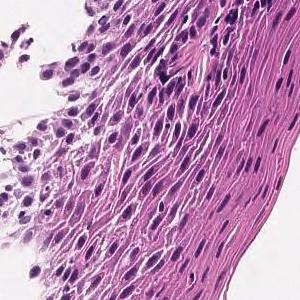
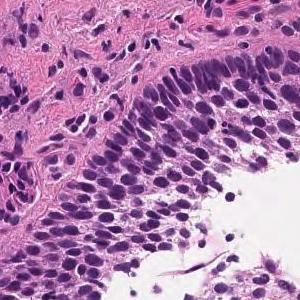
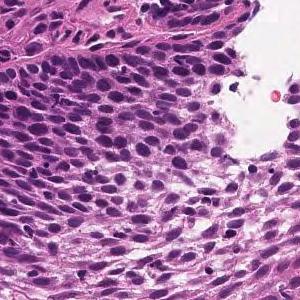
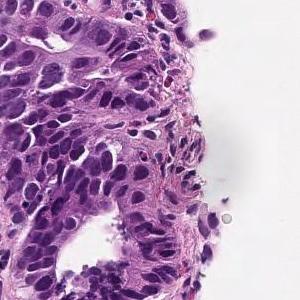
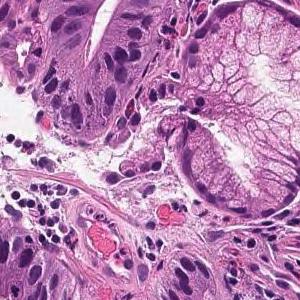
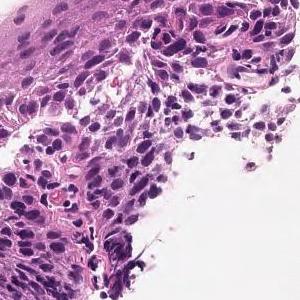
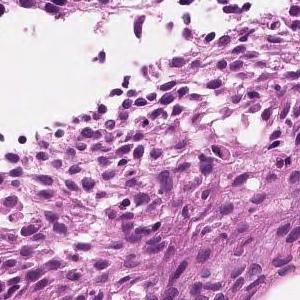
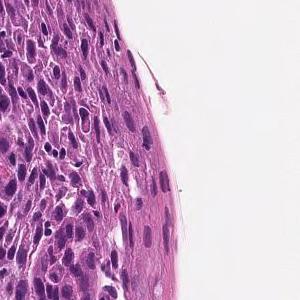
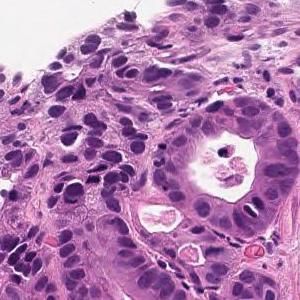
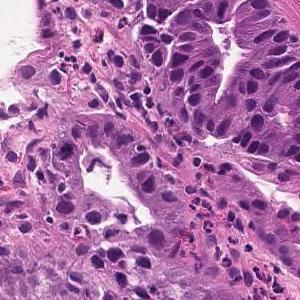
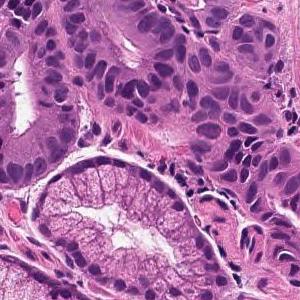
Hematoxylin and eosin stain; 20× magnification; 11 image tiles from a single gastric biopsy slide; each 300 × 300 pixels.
Report on the slide these tiles come from. Both the report and the diagnosis are for the whole slide: these tiles need not show every feature named, and some of the tissue shown may not be tumor.
On the superficial epithelium, tumor tissue is found in which medium-sized irregular gland ducts fuse with each other and infiltrate. moderately differentiated tubular adenocarcinoma
